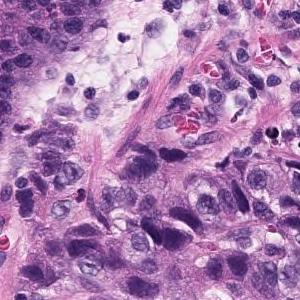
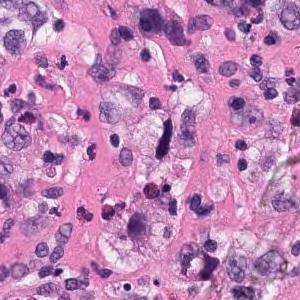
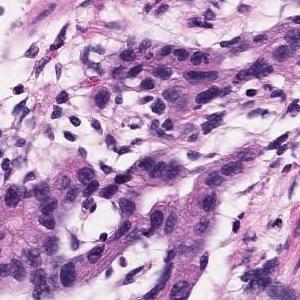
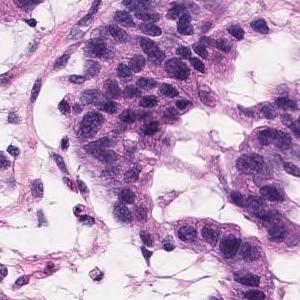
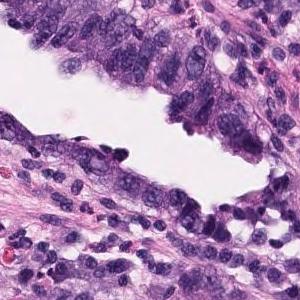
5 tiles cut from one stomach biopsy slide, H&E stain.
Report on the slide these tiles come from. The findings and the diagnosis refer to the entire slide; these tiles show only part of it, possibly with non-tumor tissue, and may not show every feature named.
Atypical l cells with atypical nuclei forming diffuse or small irregular atypical ducts and growing. Moderately to poorly differentiated adenocarcinoma (poorly differentiated adenocarcinoma, solid type, moderately differentiated tubular adenocarcinoma)
Histologic type: Moderately to poorly differentiated adenocarcinoma.
The term "solid type" comes from the Japanese Classification of Gastric Carcinoma; the WHO 2019 equivalent is tubular adenocarcinoma, poorly differentiated.
